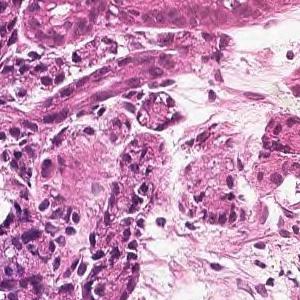
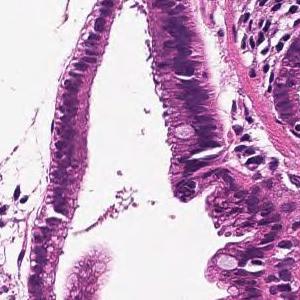
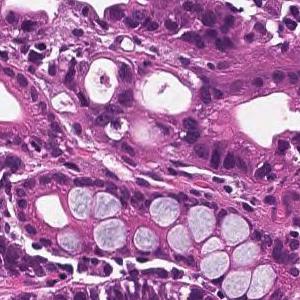
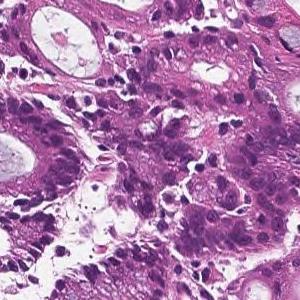
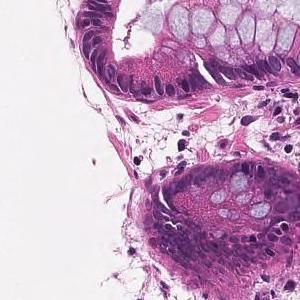
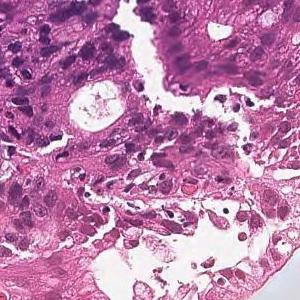
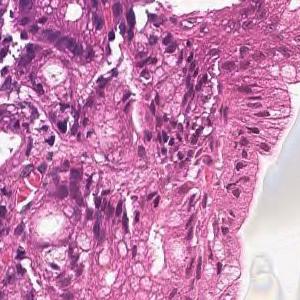
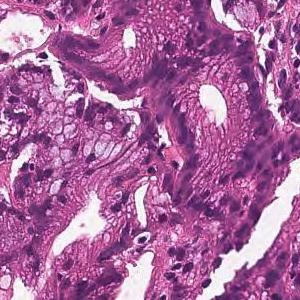
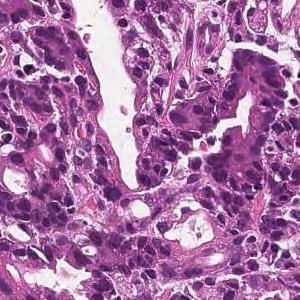
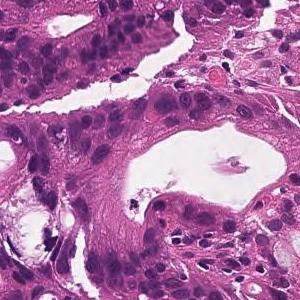
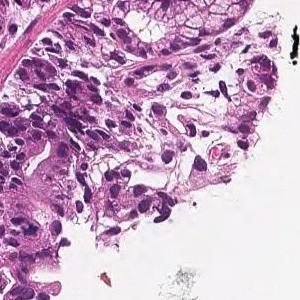
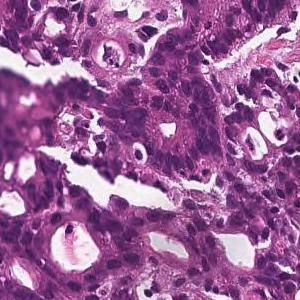
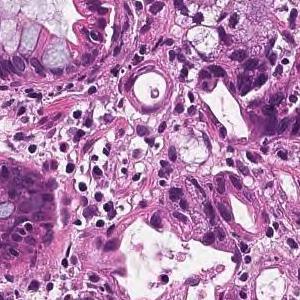
13 patches cut from one gastric biopsy slide · each 300 × 300 pixels.
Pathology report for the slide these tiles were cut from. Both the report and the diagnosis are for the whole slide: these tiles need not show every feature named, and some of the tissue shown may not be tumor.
In the superficial epithelium, tumor tissue that invades by forming medium-sized to small, irregular ducts is observed. moderately differentiated tubular adenocarcinoma.
